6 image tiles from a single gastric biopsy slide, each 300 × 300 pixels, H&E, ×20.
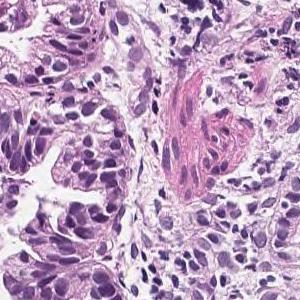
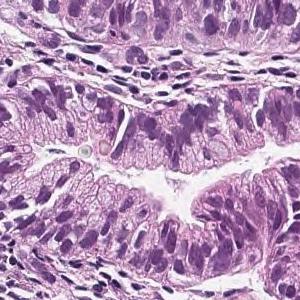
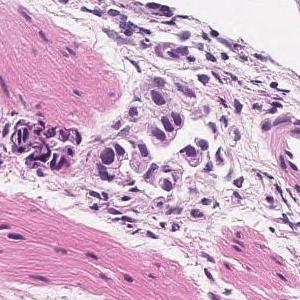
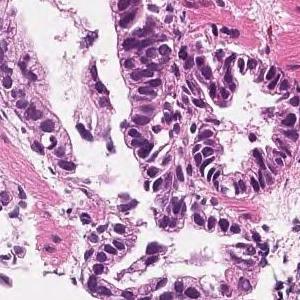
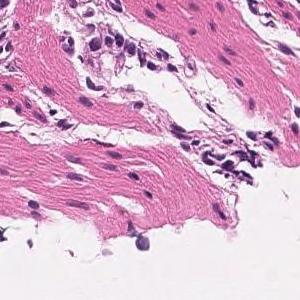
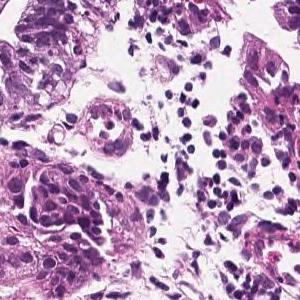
Pathology report for the slide these tiles were cut from. The report describes the whole slide, diagnosis included: not every finding it names need appear in these tiles, which may also show non-tumor tissue.
In the superficial epithelium, tumor tissue that invades by forming medium-sized to small, irregular ducts is observed. moderately differentiated tubular adenocarcinoma.
